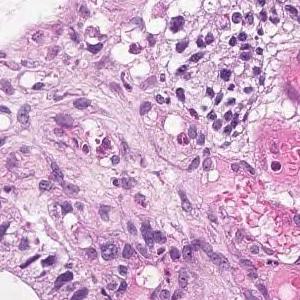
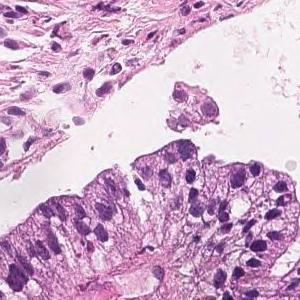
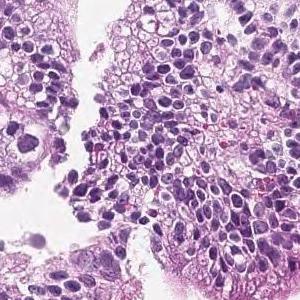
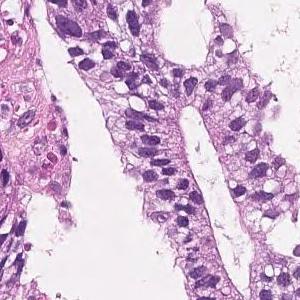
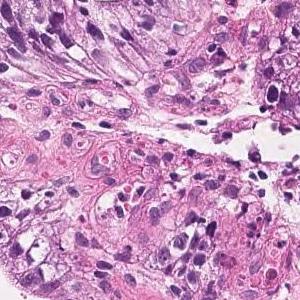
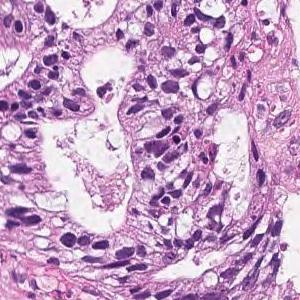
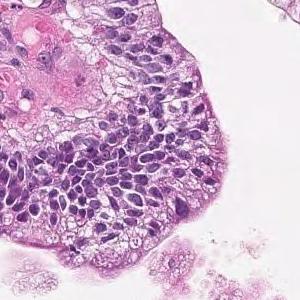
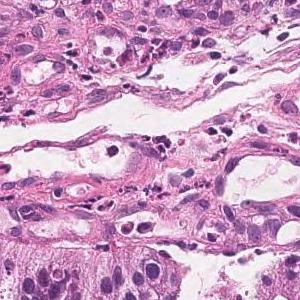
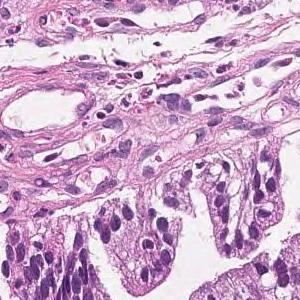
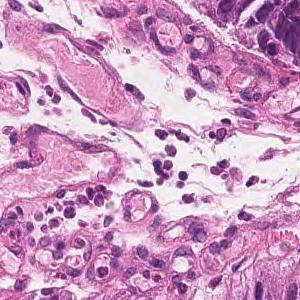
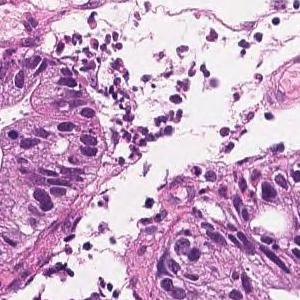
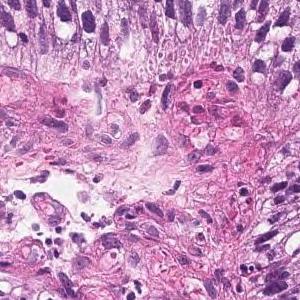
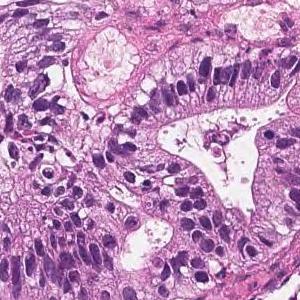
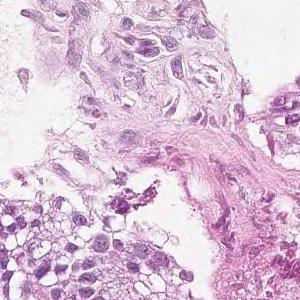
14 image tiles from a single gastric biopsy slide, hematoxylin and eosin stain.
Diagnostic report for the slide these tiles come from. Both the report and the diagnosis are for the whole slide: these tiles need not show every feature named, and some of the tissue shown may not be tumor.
On the superficial epithelium, tumor tissue that infiltrates by forming medium-sized papillary or small irregular ducts is observed. Papillary adenocarcinoma
